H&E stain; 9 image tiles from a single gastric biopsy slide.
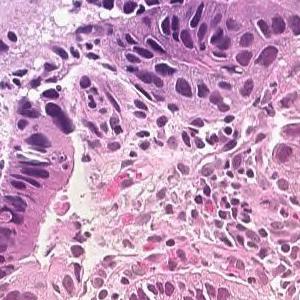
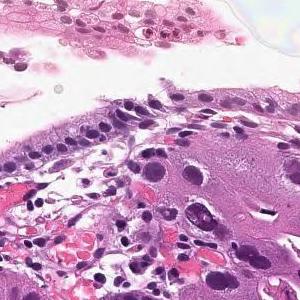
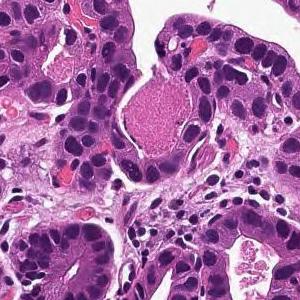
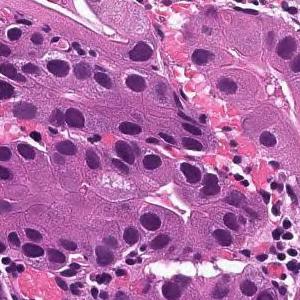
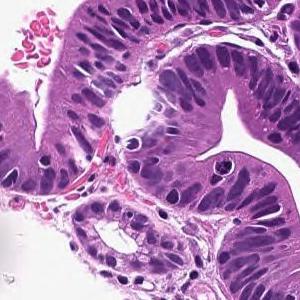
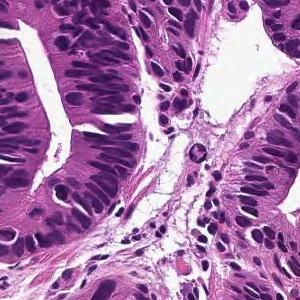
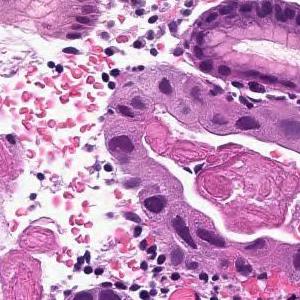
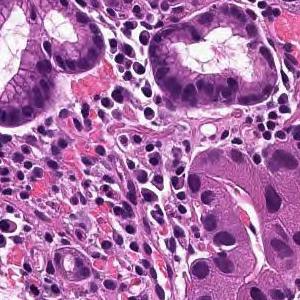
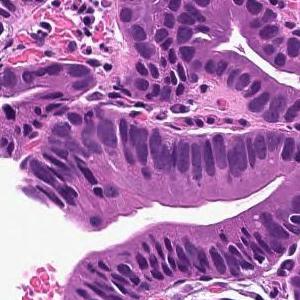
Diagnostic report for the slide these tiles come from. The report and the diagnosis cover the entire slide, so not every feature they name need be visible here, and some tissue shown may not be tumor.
From the superficial epithelium to the muscularis mucosae, tumor tissue consisting of medium-sized and irregular glandular ducts infiltrating is observed. Well differentiated tubular adenocarcinoma
